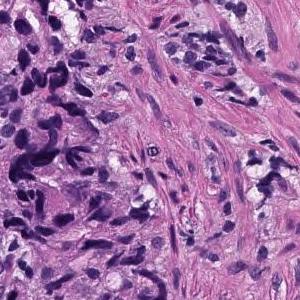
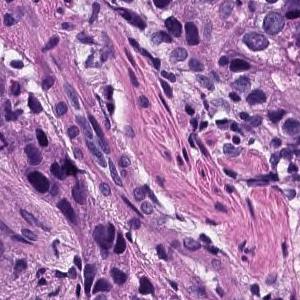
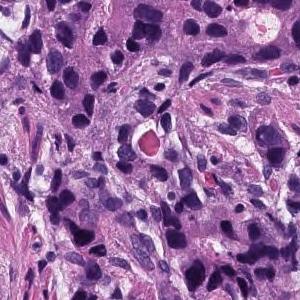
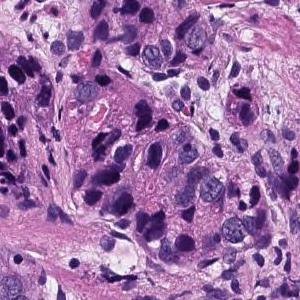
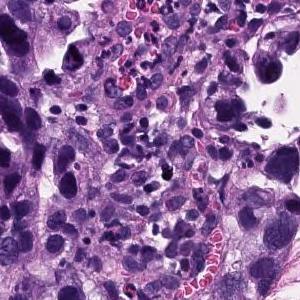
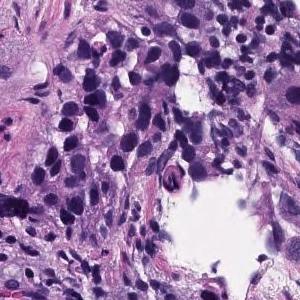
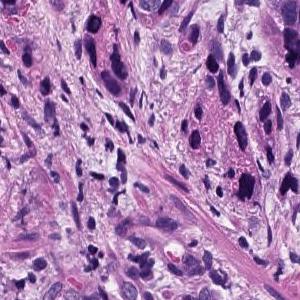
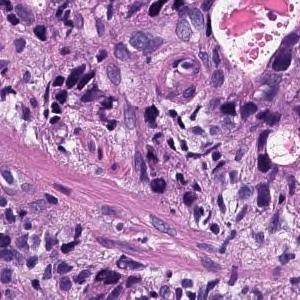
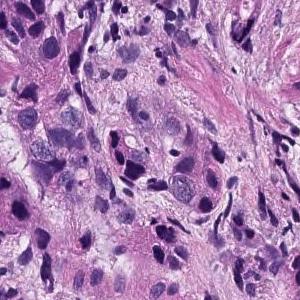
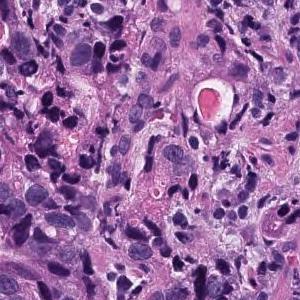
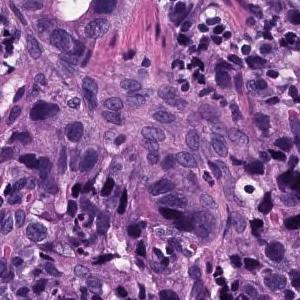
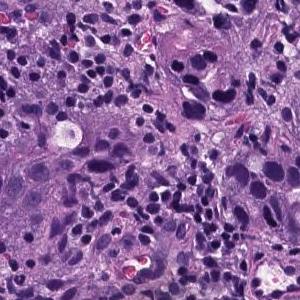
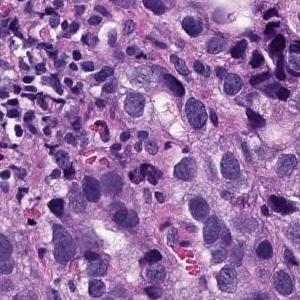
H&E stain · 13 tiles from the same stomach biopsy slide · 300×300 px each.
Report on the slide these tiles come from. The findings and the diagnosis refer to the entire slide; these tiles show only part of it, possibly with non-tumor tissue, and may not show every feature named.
In the epithelium, tumor tissue in which medium to small irregular gland ducts fuse with each other and infiltrate the submucosa. moderately differentiated tubular adenocarcinoma
